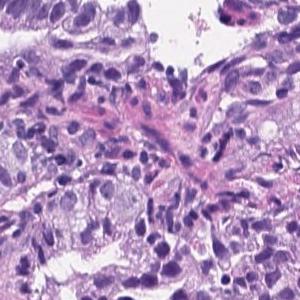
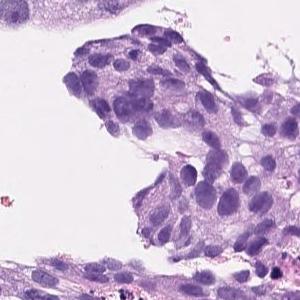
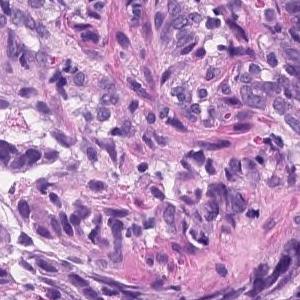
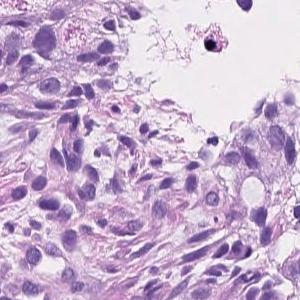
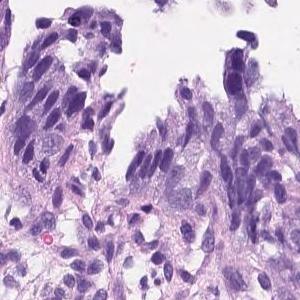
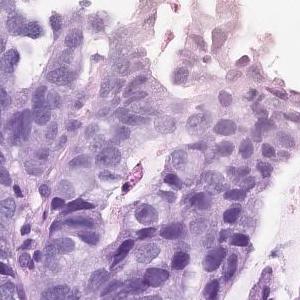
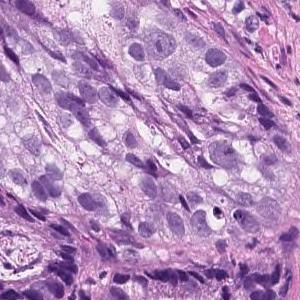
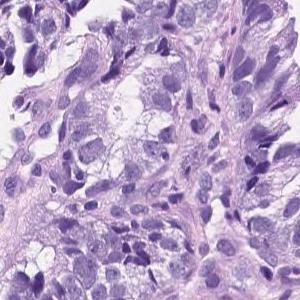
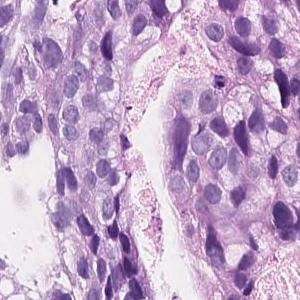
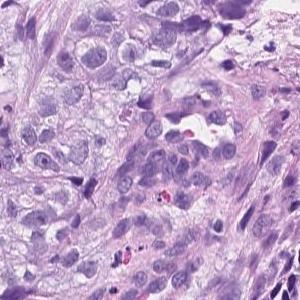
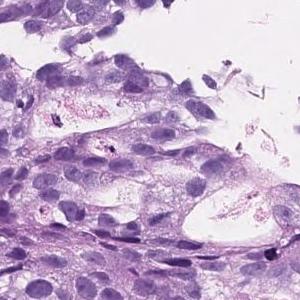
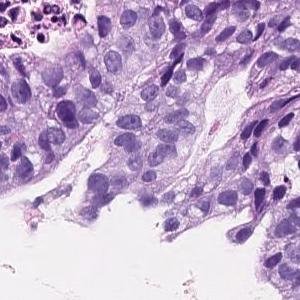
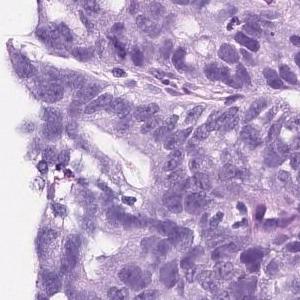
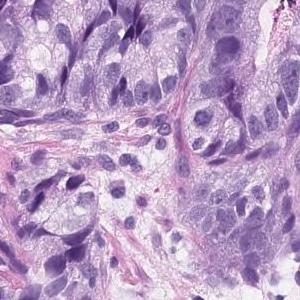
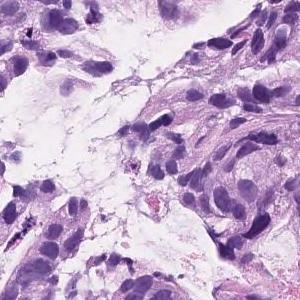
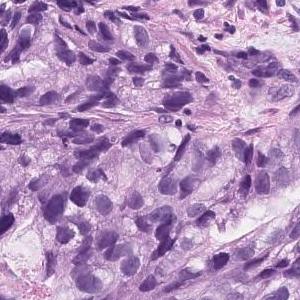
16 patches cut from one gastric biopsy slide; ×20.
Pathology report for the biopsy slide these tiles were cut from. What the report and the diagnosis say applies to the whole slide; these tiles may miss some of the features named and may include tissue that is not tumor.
On the superficial epithelium, tumor tissue consisting of an image of large, irregular glandular ducts partially fused and infiltrated is observed. Well to moderately differentiated tubular adenocarcinoma
